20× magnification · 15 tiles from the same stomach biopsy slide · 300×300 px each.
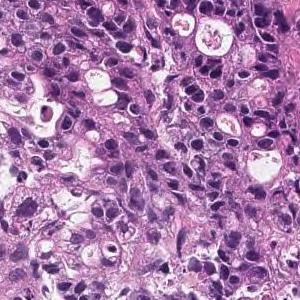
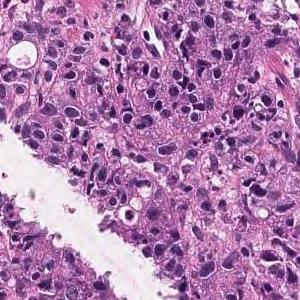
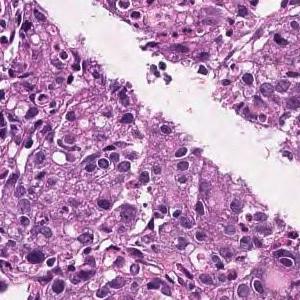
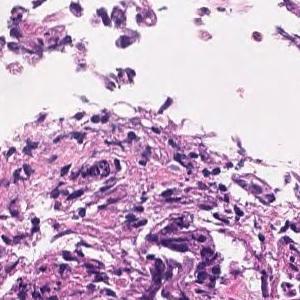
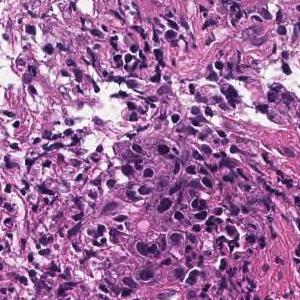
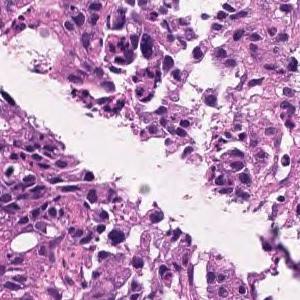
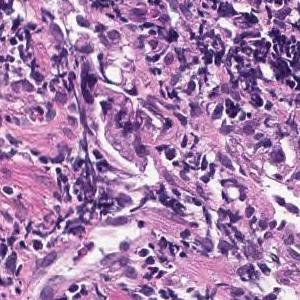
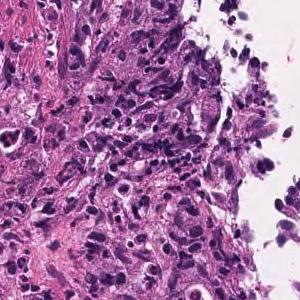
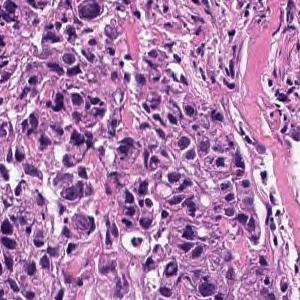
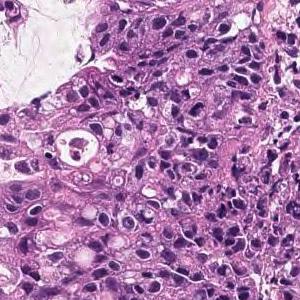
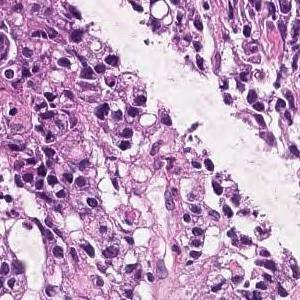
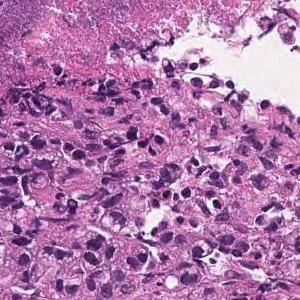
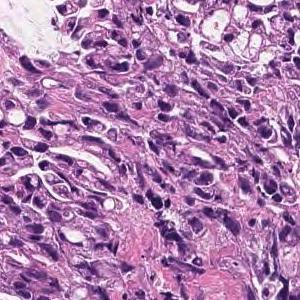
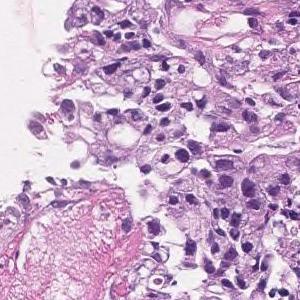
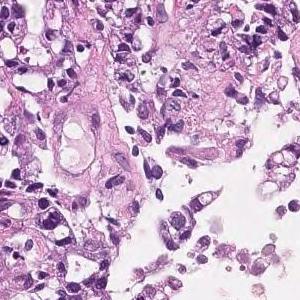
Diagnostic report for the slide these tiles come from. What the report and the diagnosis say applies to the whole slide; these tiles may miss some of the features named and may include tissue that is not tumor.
Medium to small, irregular glandular ducts are formed in the superficial epithelium, and in some cases, the glandular ducts are fused to show solid alveolar lesions and infiltrating tumor tissue is observed. Moderately to poorly differentiated adenocarcinoma.
